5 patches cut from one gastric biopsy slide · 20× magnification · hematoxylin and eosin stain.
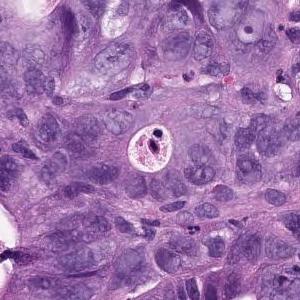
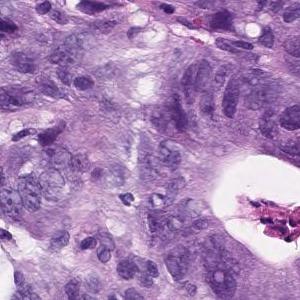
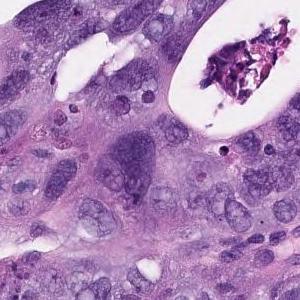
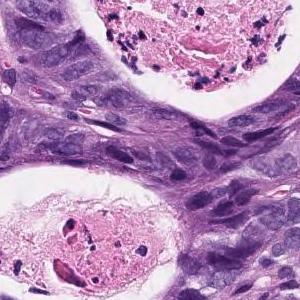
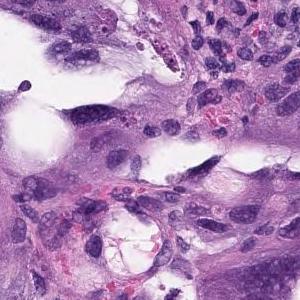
Report on the slide these tiles come from. The report and the diagnosis cover the entire slide, so not every feature they name need be visible here, and some tissue shown may not be tumor.
In the superficial epithelium, tumor tissue that invades by forming medium-sized to small, irregular ducts is observed. Moderately differentiated adenocarcinoma.
Classified as moderately differentiated tubular adenocarcinoma.
